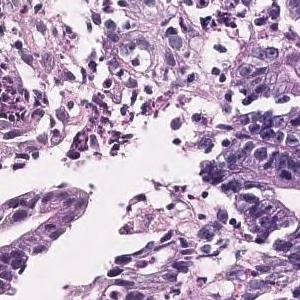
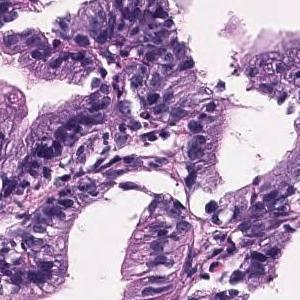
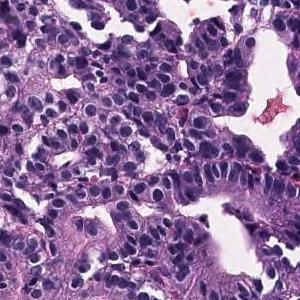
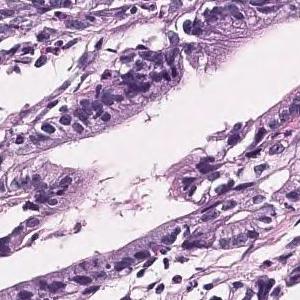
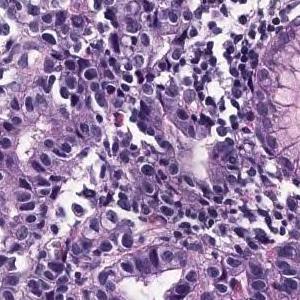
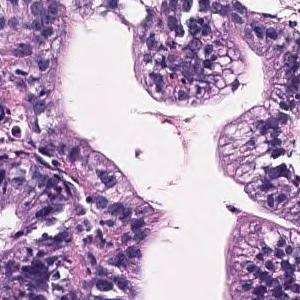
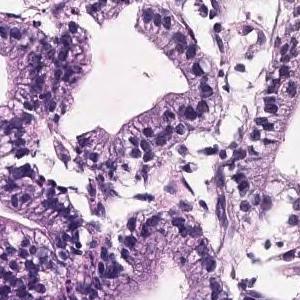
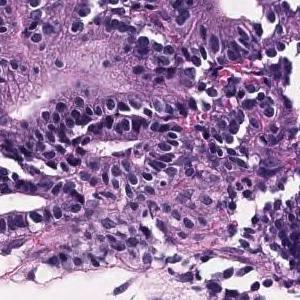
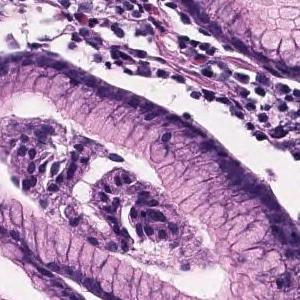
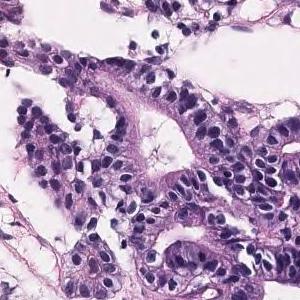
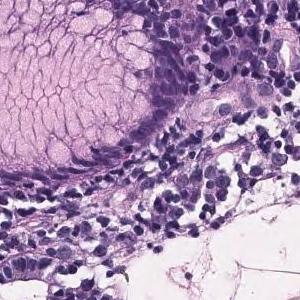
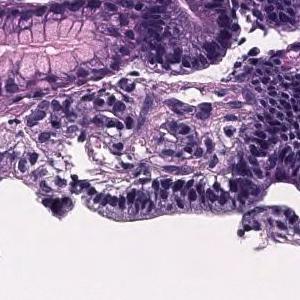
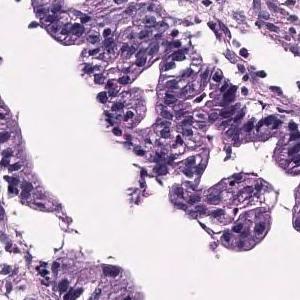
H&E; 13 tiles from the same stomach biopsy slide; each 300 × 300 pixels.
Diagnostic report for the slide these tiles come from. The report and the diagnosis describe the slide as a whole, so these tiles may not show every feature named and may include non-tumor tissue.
Tumor tissue in which highly columnar atypical epithelial cells with nuclear enlargement and increased nuclear chromatin show papillary to papillary ductal structure and proliferate is observed. Papillary adenocarcinoma.
